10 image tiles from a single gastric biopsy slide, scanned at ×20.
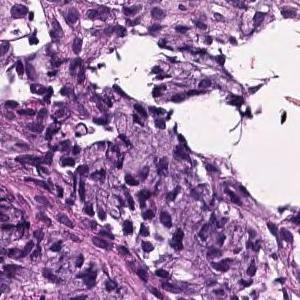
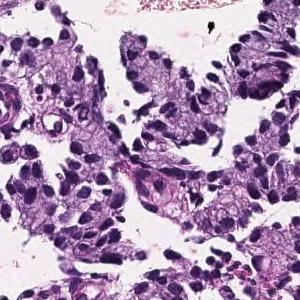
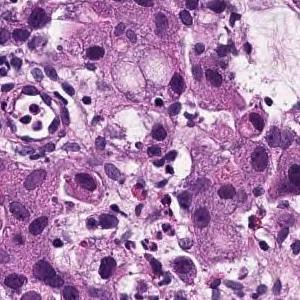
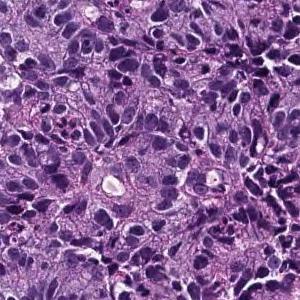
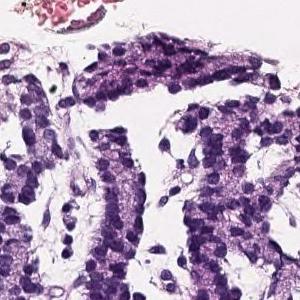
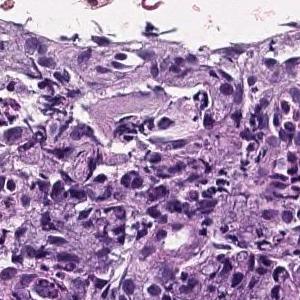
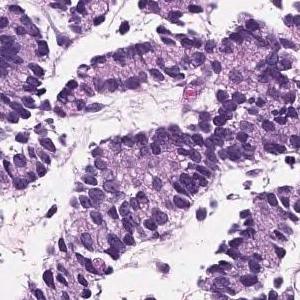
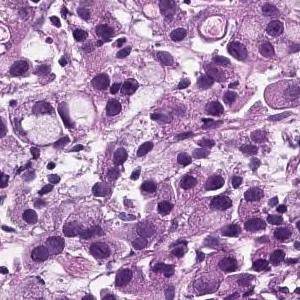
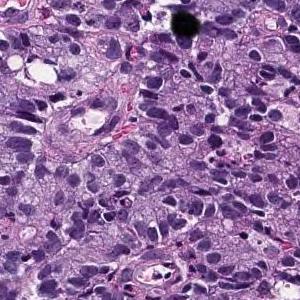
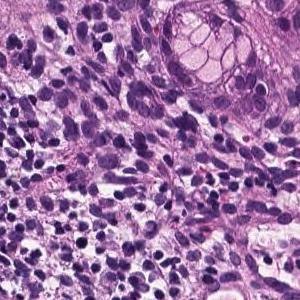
Pathology report for the biopsy slide these tiles were cut from. The report and the diagnosis describe the slide as a whole, so these tiles may not show every feature named and may include non-tumor tissue.
Tumor tissue infiltrated by irregular fusion of small cord-like structures is found in the superficial epithelium. Poorly differentiated adenocarcinoma, non-solid type
"Non-solid type" is a category of the Japanese Classification of Gastric Carcinoma.
